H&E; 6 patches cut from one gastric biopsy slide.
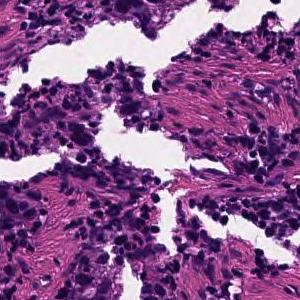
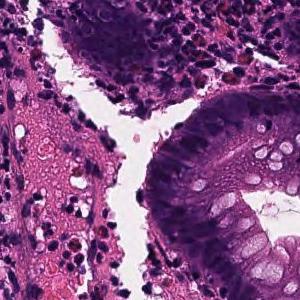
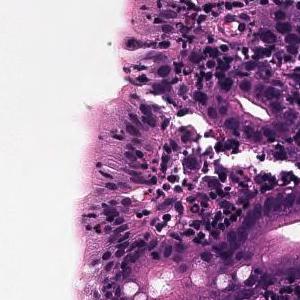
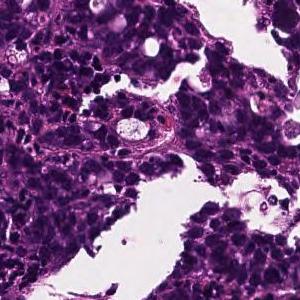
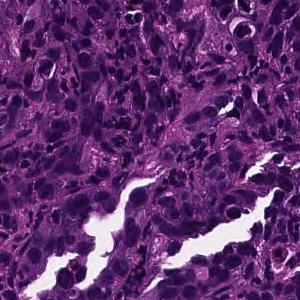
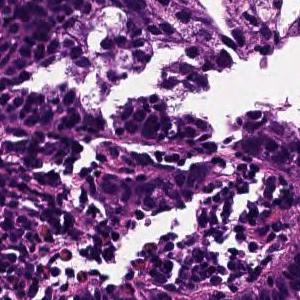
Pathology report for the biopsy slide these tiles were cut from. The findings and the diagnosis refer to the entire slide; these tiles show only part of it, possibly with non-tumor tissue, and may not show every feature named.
Tumor tissue consisting of cord-like or small, irregular glandular ducts fused and infiltrated is observed in the superficial epithelium. Poorly differentiated adenocarcinoma, non-solid type
The non-solid type named here is a Japanese Classification of Gastric Carcinoma category.
